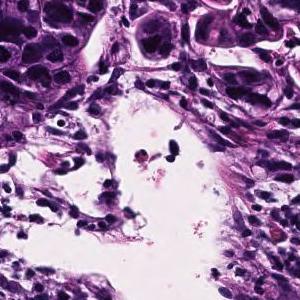
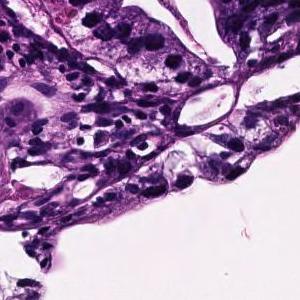
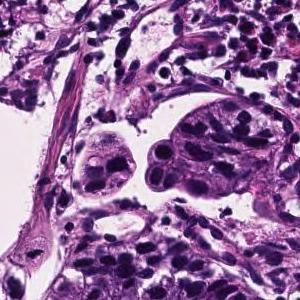
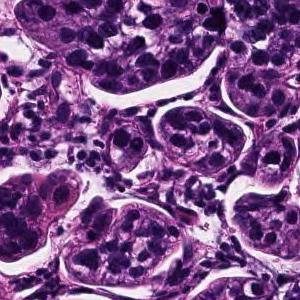
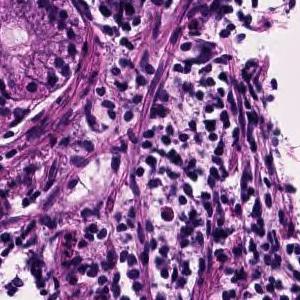
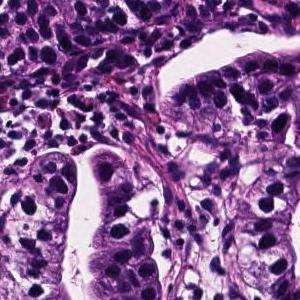
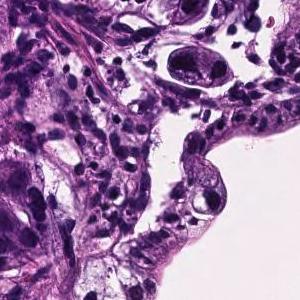
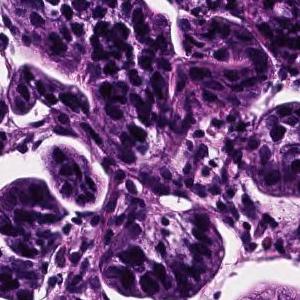
×20; hematoxylin and eosin stain; 8 tiles cut from one stomach biopsy slide; 300 × 300 pixels each.
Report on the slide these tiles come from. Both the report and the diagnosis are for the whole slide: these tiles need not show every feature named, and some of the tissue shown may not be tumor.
Tumor tissue consisting of cord-like or small, irregular glandular ducts fused and infiltrated is observed in the superficial epithelium. Poorly differentiated adenocarcinoma, non-solid type
The term "non-solid type" comes from the Japanese Classification of Gastric Carcinoma.
